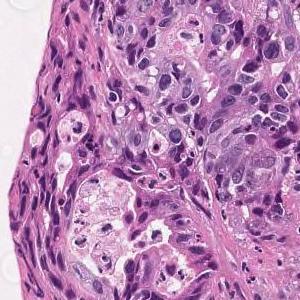
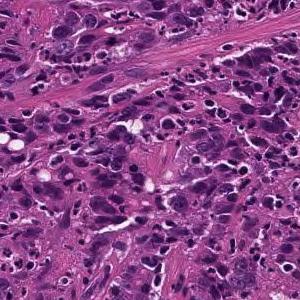
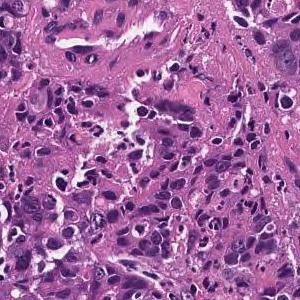
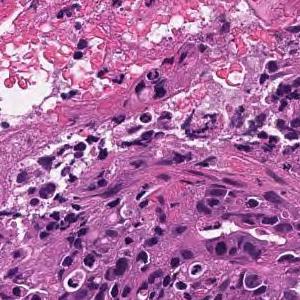
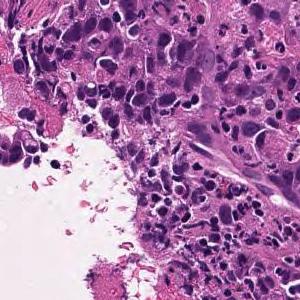
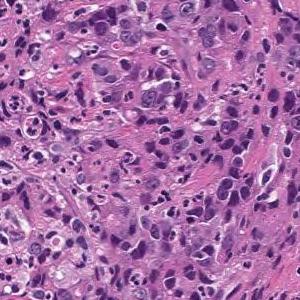
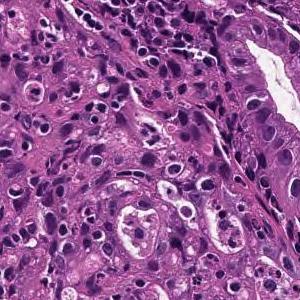
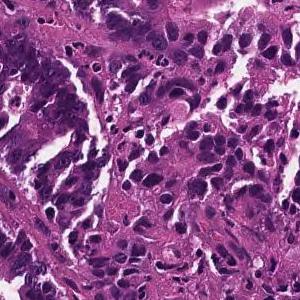
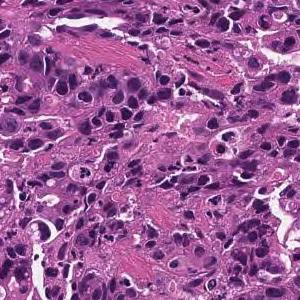
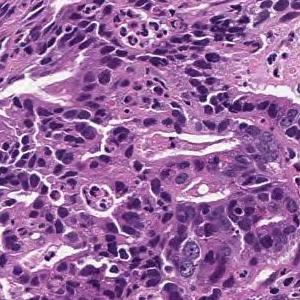
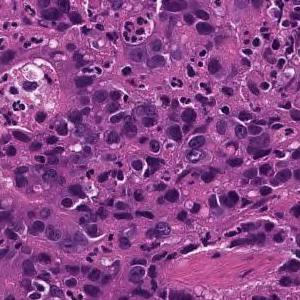
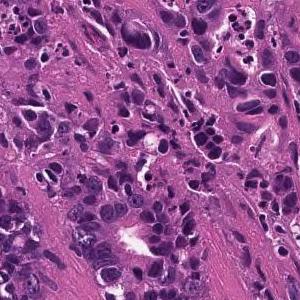
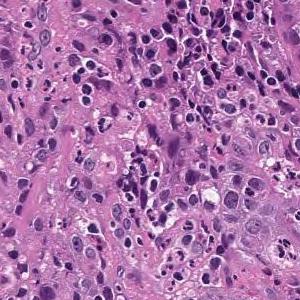
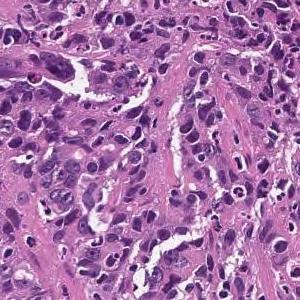
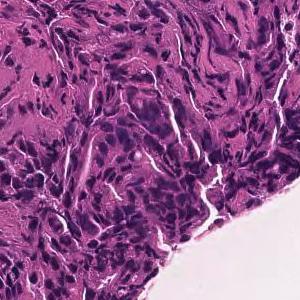
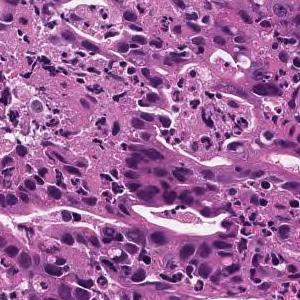
Hematoxylin and eosin stain, 20× magnification, 16 tiles from the same stomach biopsy slide.
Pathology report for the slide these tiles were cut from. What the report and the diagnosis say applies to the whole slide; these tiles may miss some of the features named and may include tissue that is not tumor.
In the superficial epithelium, tumor tissue that invades by forming medium-sized to small, irregular ducts is observed. moderately differentiated tubular adenocarcinoma.
